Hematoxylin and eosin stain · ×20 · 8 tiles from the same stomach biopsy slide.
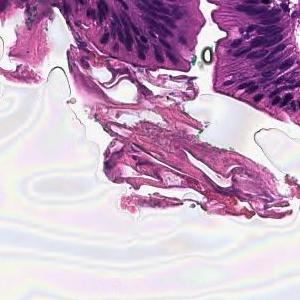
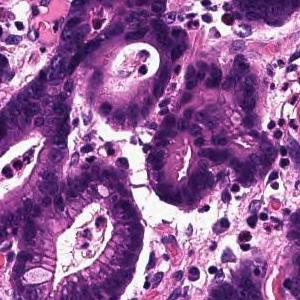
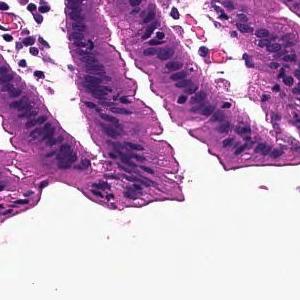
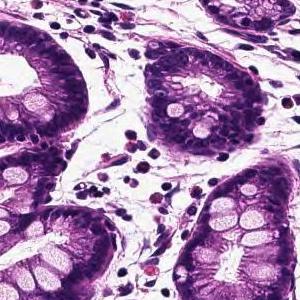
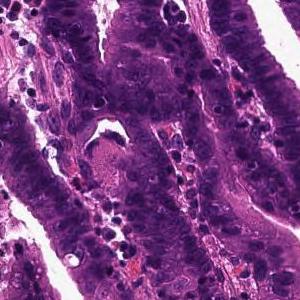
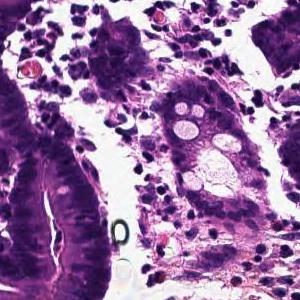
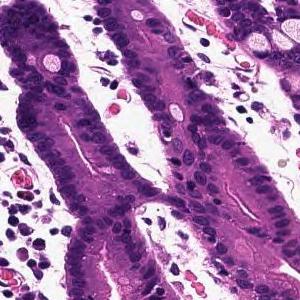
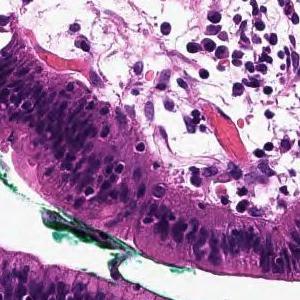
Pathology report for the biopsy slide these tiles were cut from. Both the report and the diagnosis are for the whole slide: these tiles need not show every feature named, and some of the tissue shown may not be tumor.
Tumor tissue that infiltrates by forming large papillary or large irregular glandular ducts is observed confined to the mucosa. Papillary adenocarcinoma
